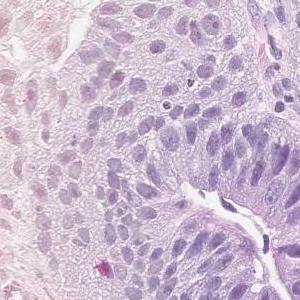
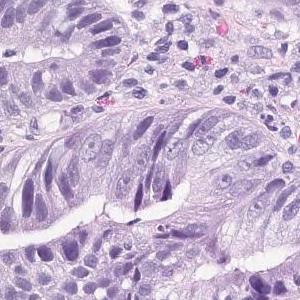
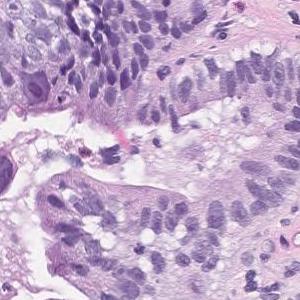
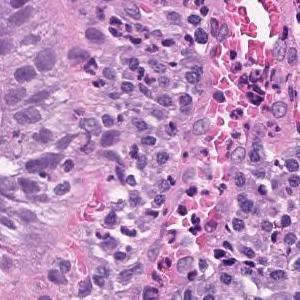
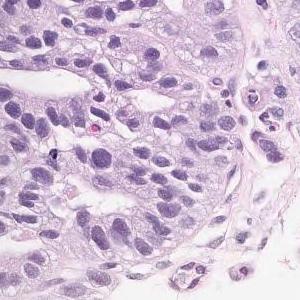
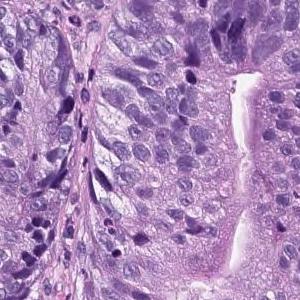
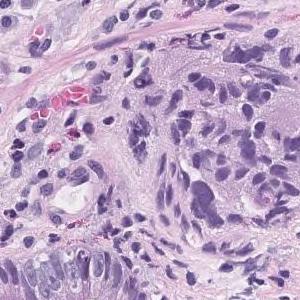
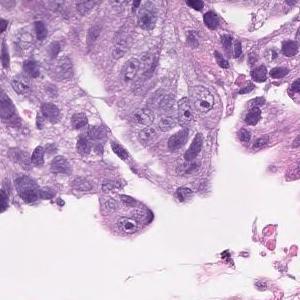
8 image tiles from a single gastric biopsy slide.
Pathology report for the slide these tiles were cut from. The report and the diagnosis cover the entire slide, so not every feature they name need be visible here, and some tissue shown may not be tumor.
On the superficial epithelium, tumor tissue consisting of medium to small irregular tubules partially fused and proliferated is observed. moderately differentiated tubular adenocarcinoma
